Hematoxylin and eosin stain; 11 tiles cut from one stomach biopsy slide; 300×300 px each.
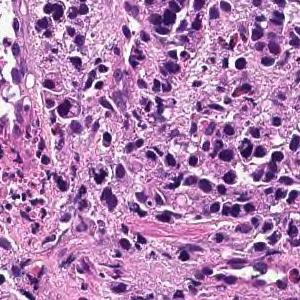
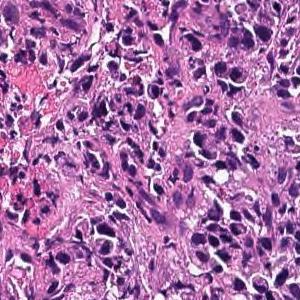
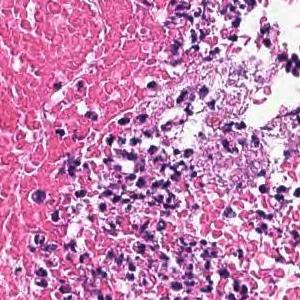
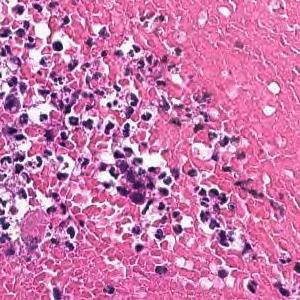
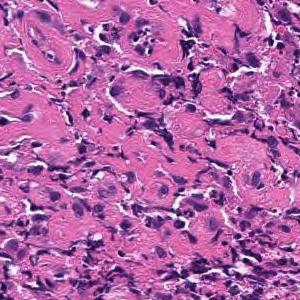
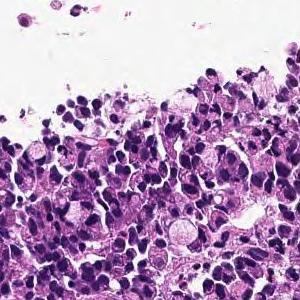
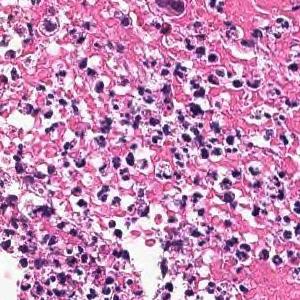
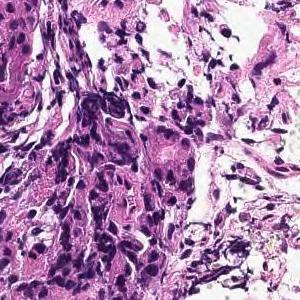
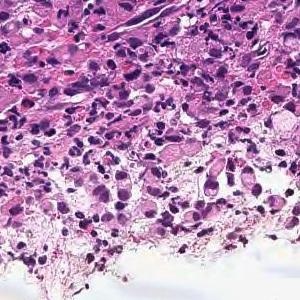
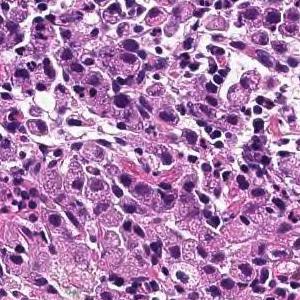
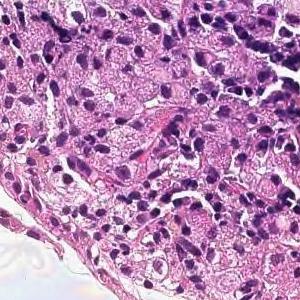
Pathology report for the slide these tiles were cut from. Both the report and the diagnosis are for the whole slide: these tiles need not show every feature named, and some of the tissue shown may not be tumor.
Tumor tissue consisting of diffusely infiltrated large atypical epithelial cells or signet ring atypical cells is observed in the superficial epithelium. Poorly differentiated adenocarcinoma, solid-type
Histologic type: Poorly differentiated adenocarcinoma, solid type. This name comes from the Japanese Classification of Gastric Carcinoma; the WHO 2019 classification calls it tubular adenocarcinoma, poorly differentiated.
